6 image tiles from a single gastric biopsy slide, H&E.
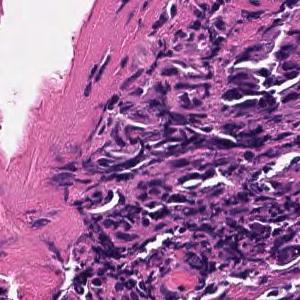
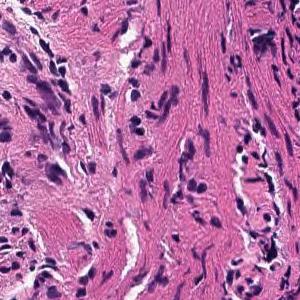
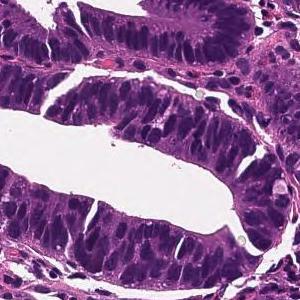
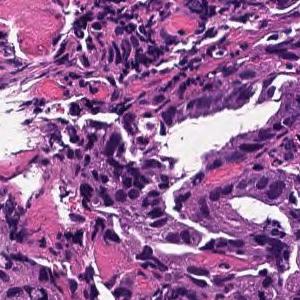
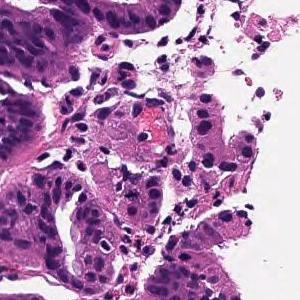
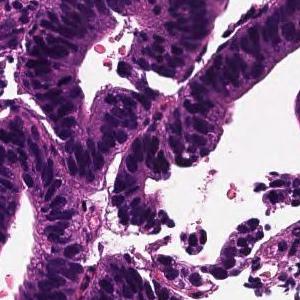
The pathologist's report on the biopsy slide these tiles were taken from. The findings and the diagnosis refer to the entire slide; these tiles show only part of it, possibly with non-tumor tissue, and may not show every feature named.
Tumor cells are large, highly columnar, large club-shaped nuclei, and are associated with chromatin aggregation. Papillary adenocarcinoma.
